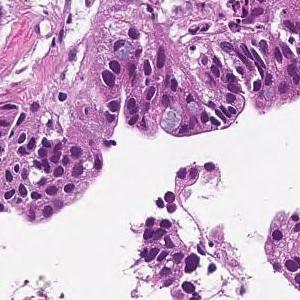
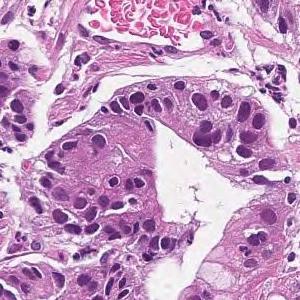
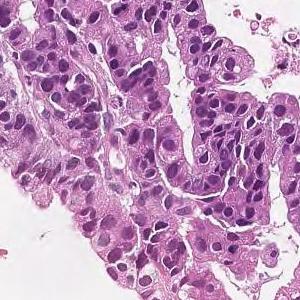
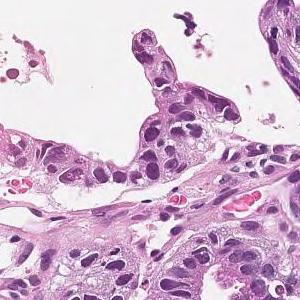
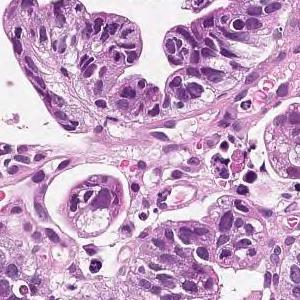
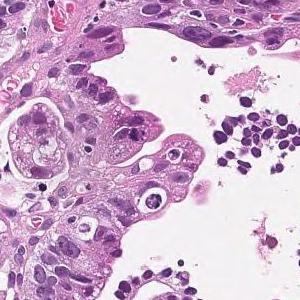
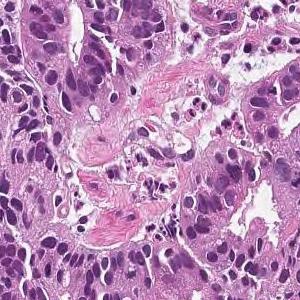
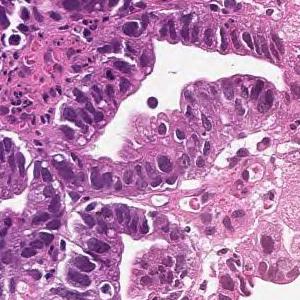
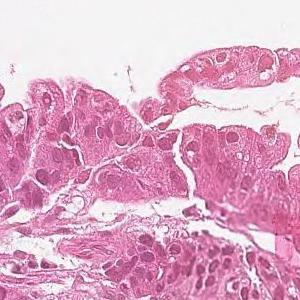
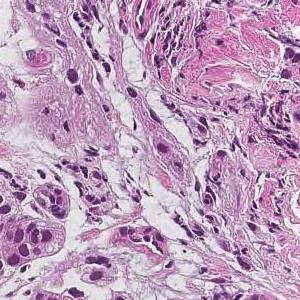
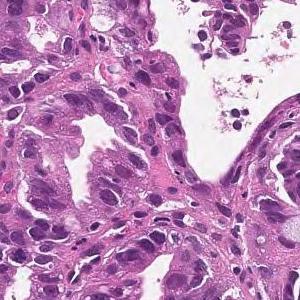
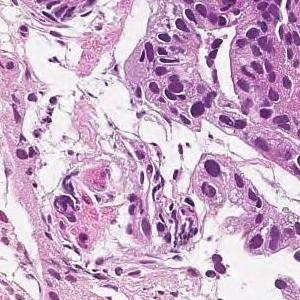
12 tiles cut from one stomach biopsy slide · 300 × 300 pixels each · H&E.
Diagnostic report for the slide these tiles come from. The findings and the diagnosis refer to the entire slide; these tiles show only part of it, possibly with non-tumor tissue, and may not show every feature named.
On the superficial epithelium, tumor tissue that infiltrates by forming medium-sized papillary or small irregular ducts is observed. Papillary adenocarcinoma
